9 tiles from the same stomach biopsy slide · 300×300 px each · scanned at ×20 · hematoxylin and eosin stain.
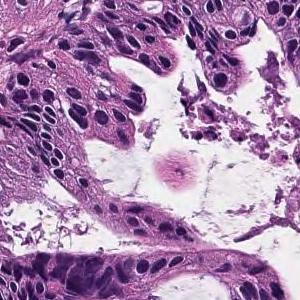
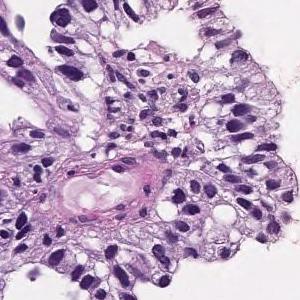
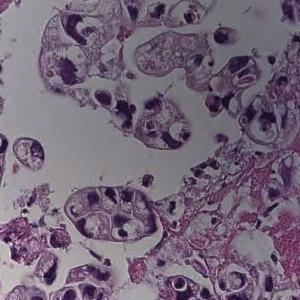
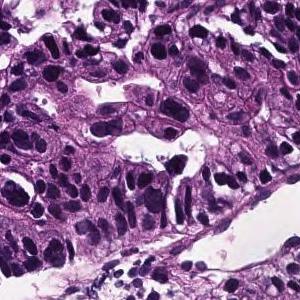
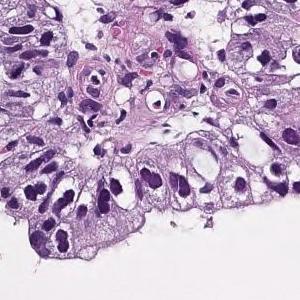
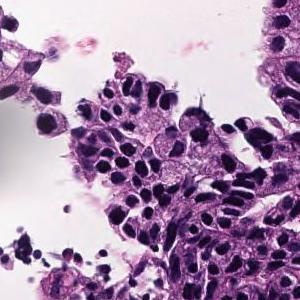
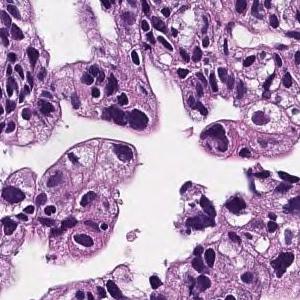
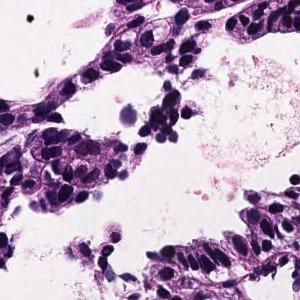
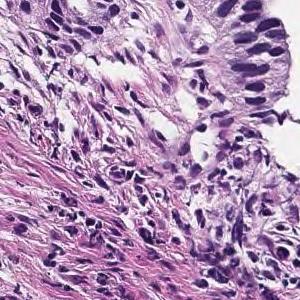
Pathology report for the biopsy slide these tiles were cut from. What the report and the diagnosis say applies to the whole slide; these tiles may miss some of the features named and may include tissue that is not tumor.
Tumor cells are large, highly columnar, large club-shaped nuclei, and are associated with chromatin aggregation. Papillary adenocarcinoma.
